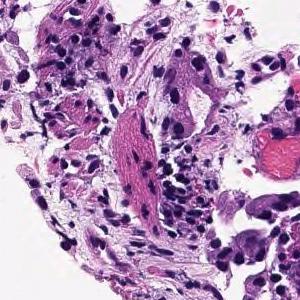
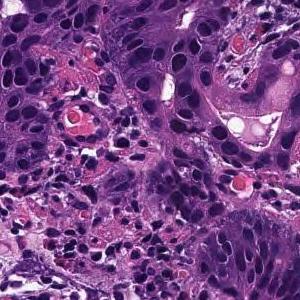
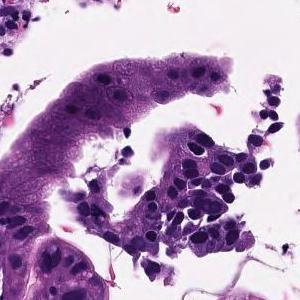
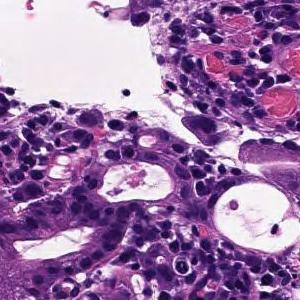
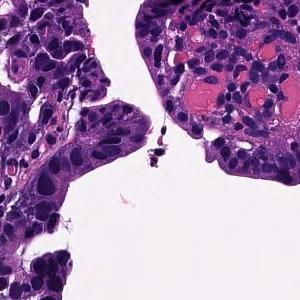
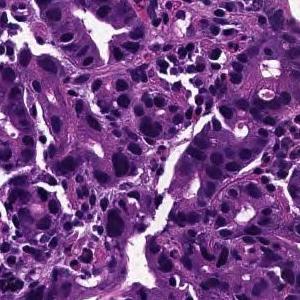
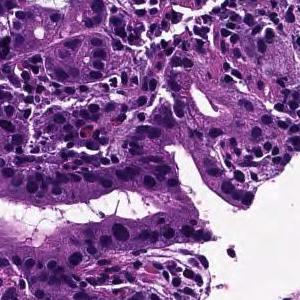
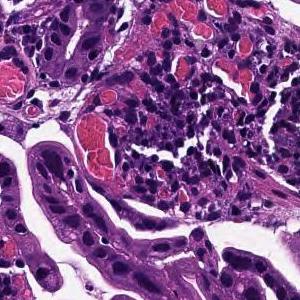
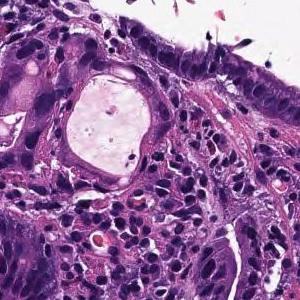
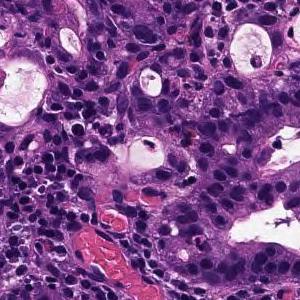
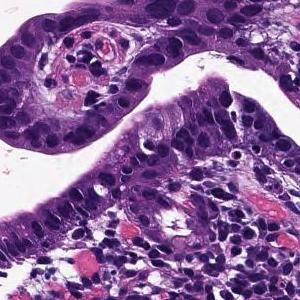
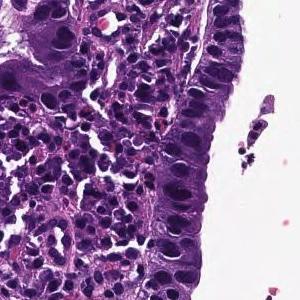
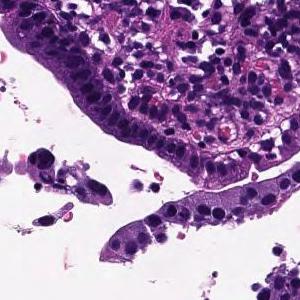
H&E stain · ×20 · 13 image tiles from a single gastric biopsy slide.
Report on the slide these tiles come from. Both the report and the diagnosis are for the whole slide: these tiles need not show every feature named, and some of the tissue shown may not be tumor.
From the superficial epithelium to the muscularis mucosae, tumor tissue consisting of medium-sized and irregular glandular ducts infiltrating is observed. Well differentiated tubular adenocarcinoma
